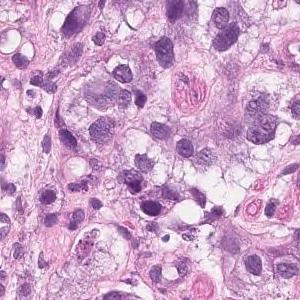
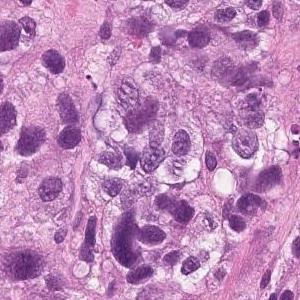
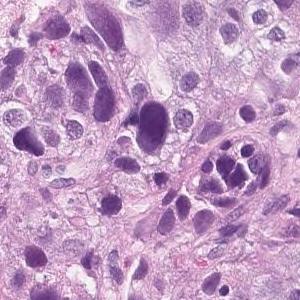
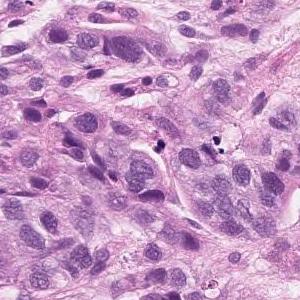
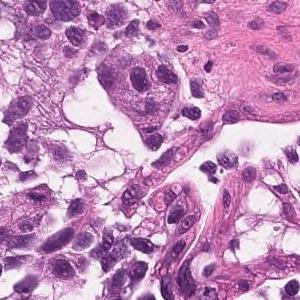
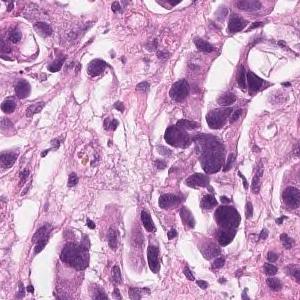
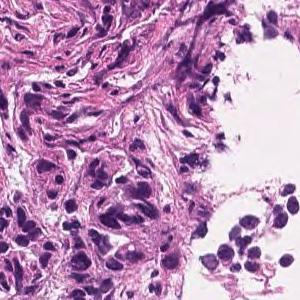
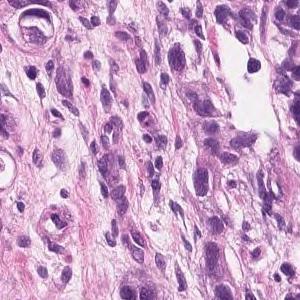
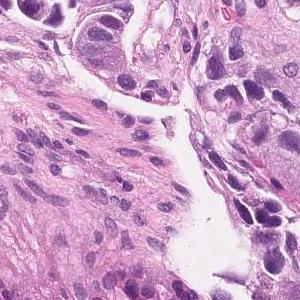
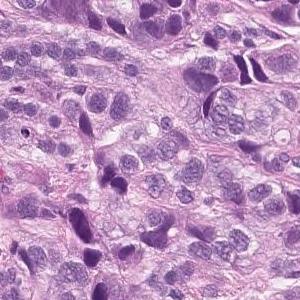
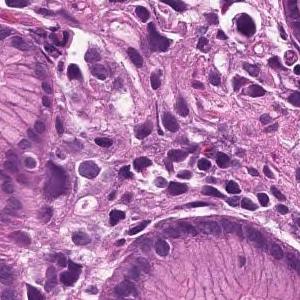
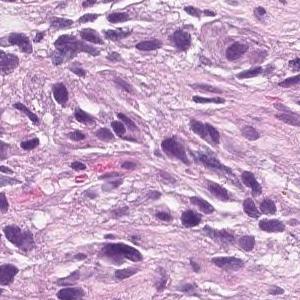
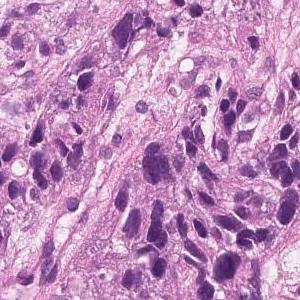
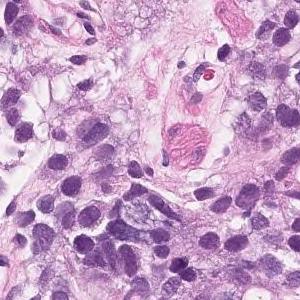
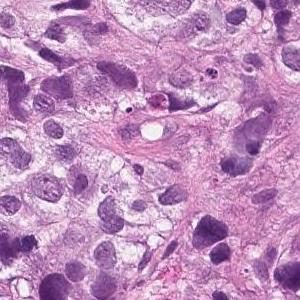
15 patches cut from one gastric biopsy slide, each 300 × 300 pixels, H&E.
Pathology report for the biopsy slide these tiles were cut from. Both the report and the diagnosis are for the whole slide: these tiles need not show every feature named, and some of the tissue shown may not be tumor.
Tumor tissue that infiltrates the epithelium in an alveolar manner. Poorly differentiated adenocarcinoma, solid-type
Histologic type: Poorly differentiated adenocarcinoma, solid type (Japanese Classification of Gastric Carcinoma). The WHO 2019 equivalent is tubular adenocarcinoma, poorly differentiated.
